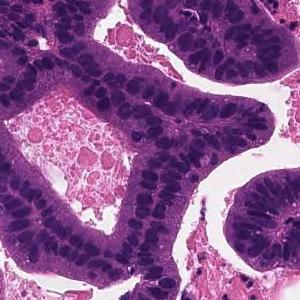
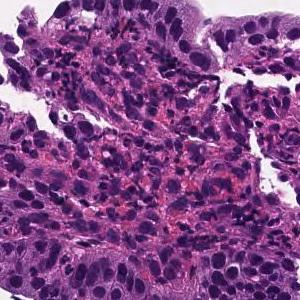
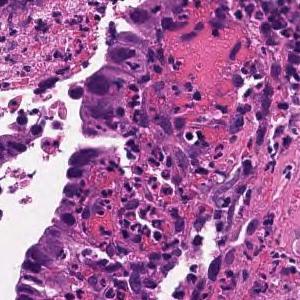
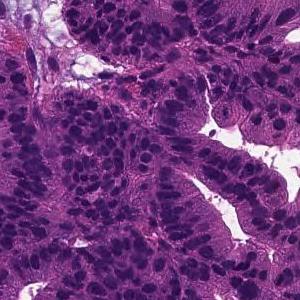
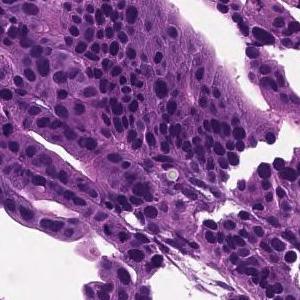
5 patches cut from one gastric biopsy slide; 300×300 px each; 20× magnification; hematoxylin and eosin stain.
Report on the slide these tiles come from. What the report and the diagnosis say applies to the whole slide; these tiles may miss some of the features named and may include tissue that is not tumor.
Tumor cells are large, highly columnar, large club-shaped nuclei, and are associated with chromatin aggregation. Papillary adenocarcinoma.
